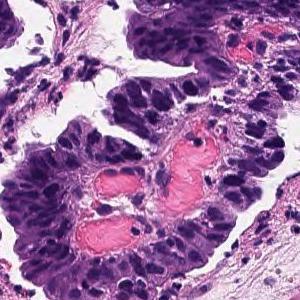
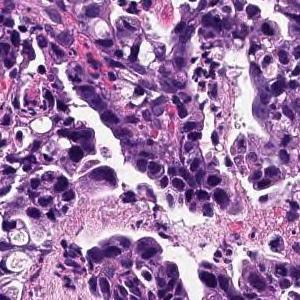
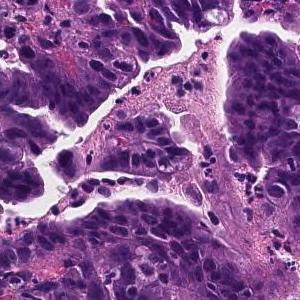
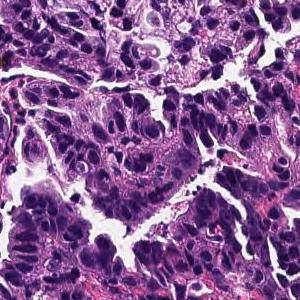
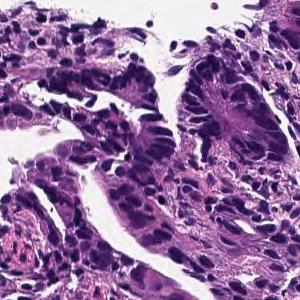
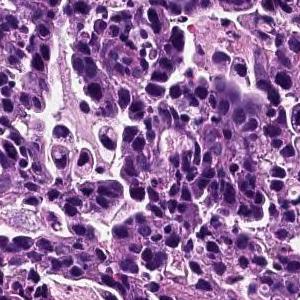
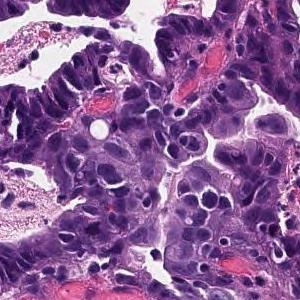
7 image tiles from a single gastric biopsy slide · 300 × 300 pixels each · H&E.
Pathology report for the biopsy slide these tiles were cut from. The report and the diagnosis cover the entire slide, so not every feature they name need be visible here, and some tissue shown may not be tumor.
Infiltrating tumor tissue is observed in the superficial epithelium, showing large papillary structures or large and small ducts. Papillary adenocarcinoma
